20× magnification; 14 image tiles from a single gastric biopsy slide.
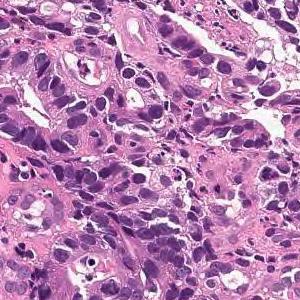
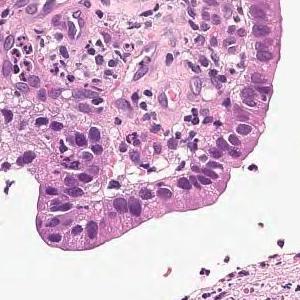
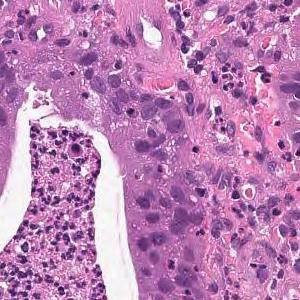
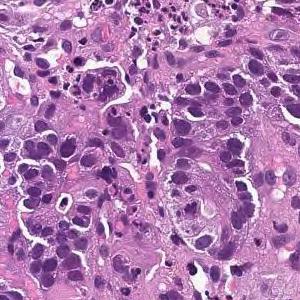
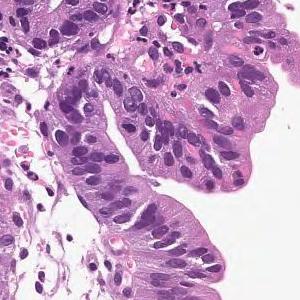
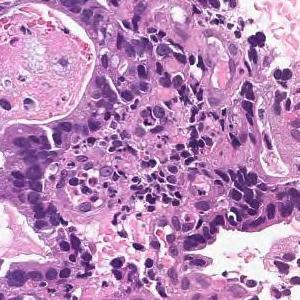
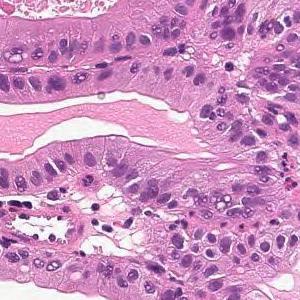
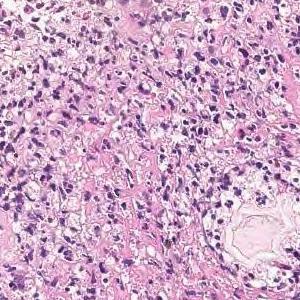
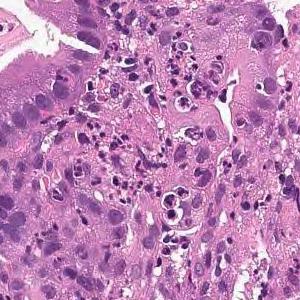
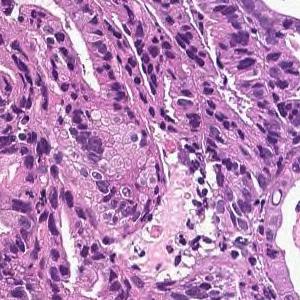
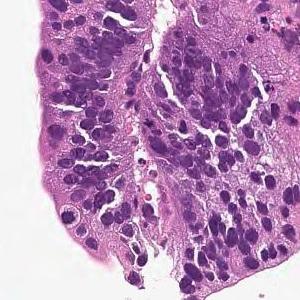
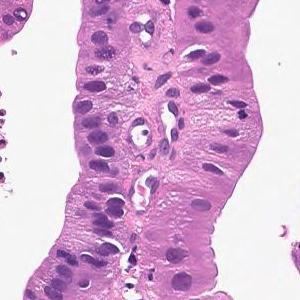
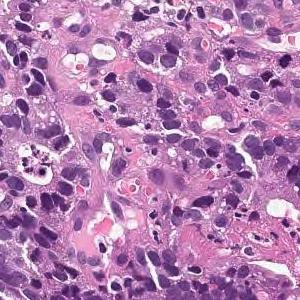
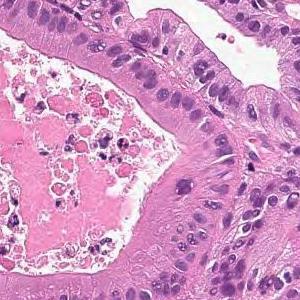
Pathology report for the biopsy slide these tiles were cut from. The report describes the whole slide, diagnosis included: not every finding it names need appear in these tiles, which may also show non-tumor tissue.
From the superficial epithelium to the muscularis mucosae, tumor tissue consisting of medium-sized and irregular glandular ducts infiltrating is observed. Well differentiated tubular adenocarcinoma
